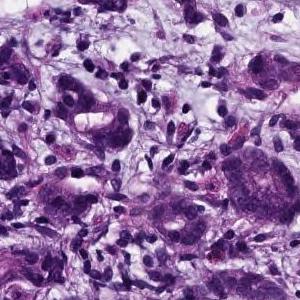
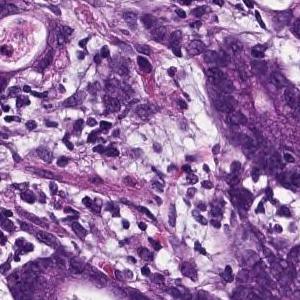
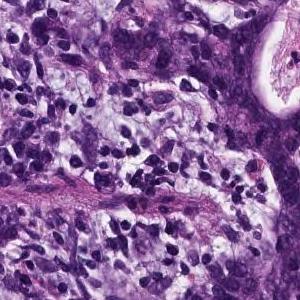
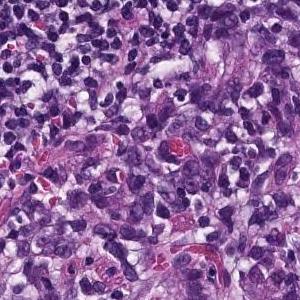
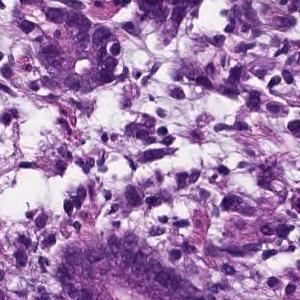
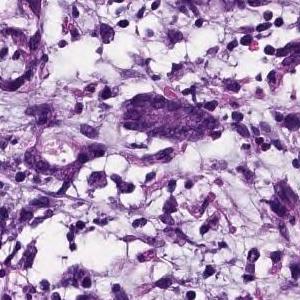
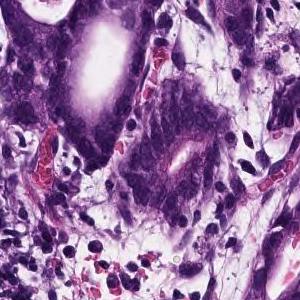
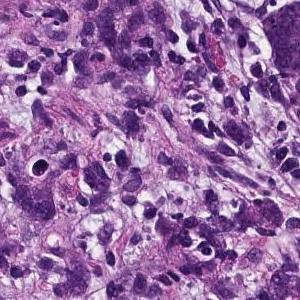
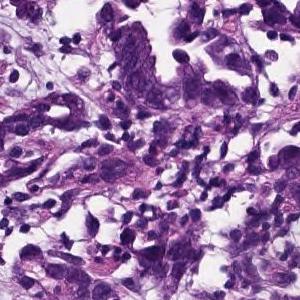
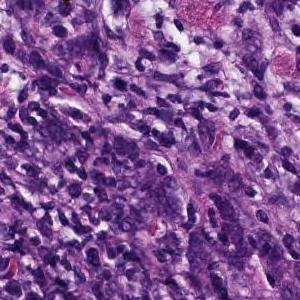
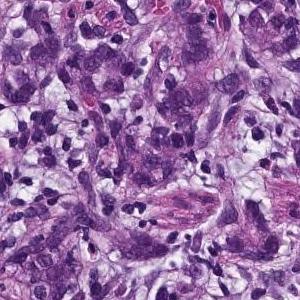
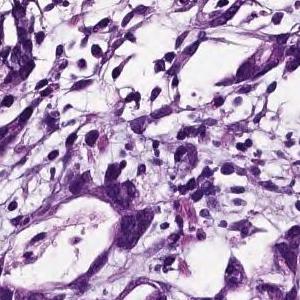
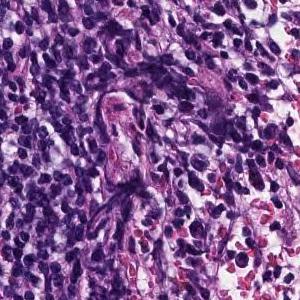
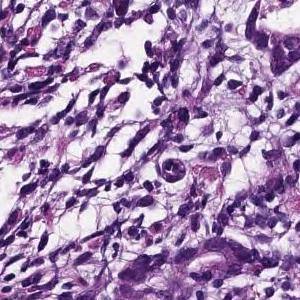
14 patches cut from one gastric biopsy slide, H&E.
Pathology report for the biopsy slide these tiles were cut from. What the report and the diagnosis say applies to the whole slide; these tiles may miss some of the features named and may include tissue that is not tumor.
Tumor tissue consisting of medium-sized, cord-like or irregular glandular infiltration is observed in the superficial epithelium. Poorly differentiated adenocarcinoma, non-solid type or moderately differentiated tubular adenocarcinoma
Tumor subtype: moderately to poorly differentiated adenocarcinoma.
The term "non-solid type" comes from the Japanese Classification of Gastric Carcinoma.
